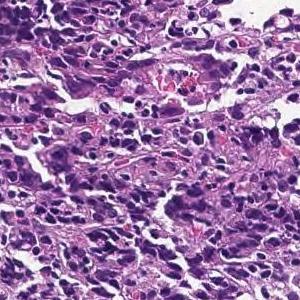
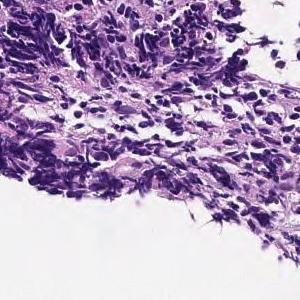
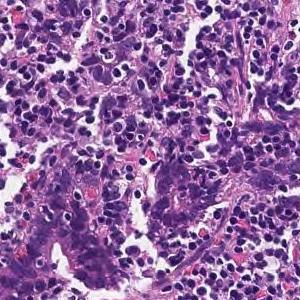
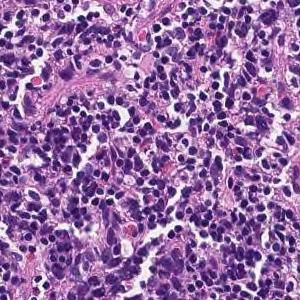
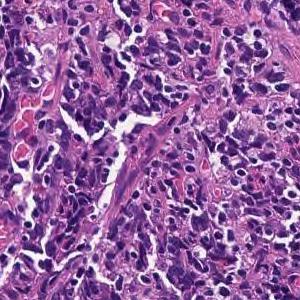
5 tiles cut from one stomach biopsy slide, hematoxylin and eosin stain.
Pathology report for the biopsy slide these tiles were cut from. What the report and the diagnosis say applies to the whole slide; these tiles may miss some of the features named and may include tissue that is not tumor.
Tumor tissue consisting of medium-sized, cord-like or irregular glandular infiltration is observed in the superficial epithelium. Poorly differentiated adenocarcinoma, non-solid type or moderately differentiated tubular adenocarcinoma
Classified as moderately to poorly differentiated adenocarcinoma.
"Non-solid type" is a category of the Japanese Classification of Gastric Carcinoma.
